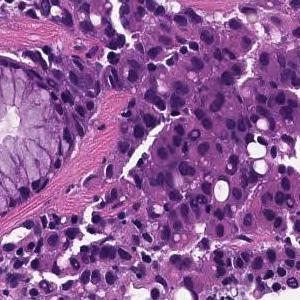
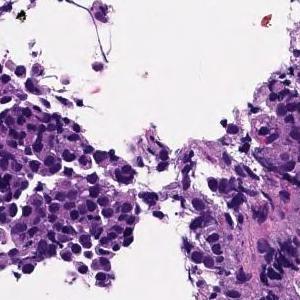
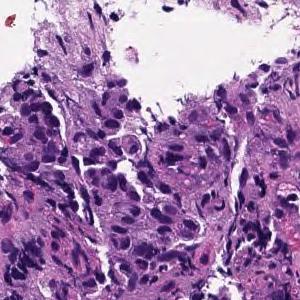
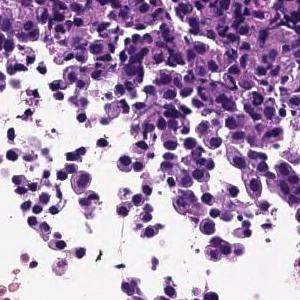
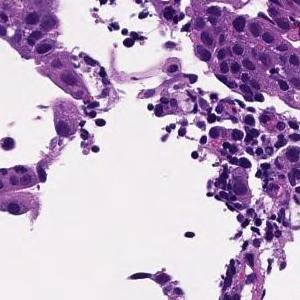
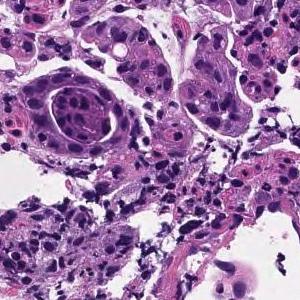
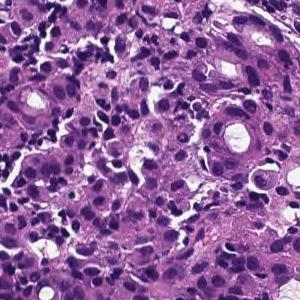
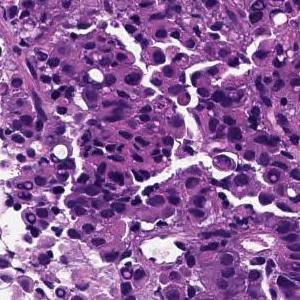
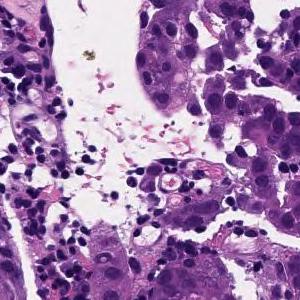
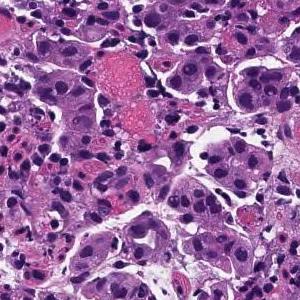
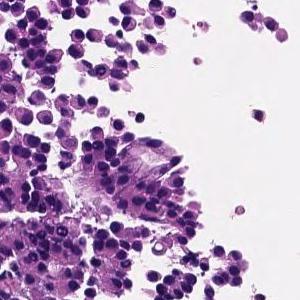
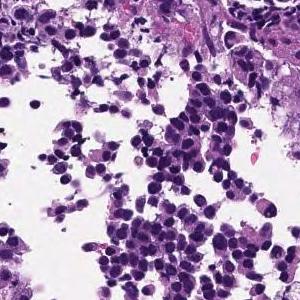
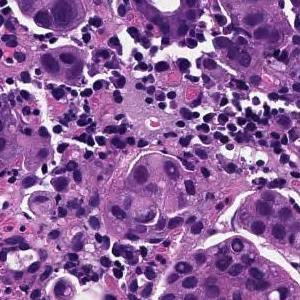
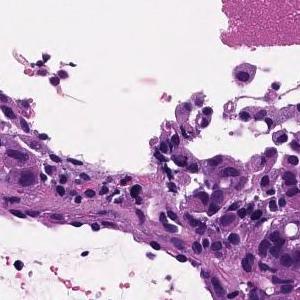
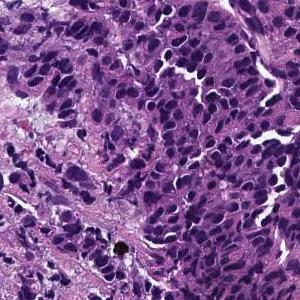
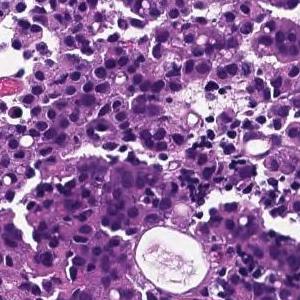
H&E; scanned at ×20; 16 image tiles from a single gastric biopsy slide.
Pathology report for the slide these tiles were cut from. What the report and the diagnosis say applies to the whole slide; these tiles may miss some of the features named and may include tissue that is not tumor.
The superficial epithelium shows a large sheet-like shape, and some tumor tissue infiltrates with small irregular ducts. Poorly differentiated adenocarcinoma, solid-type
Classified as poorly differentiated adenocarcinoma, solid type, a category of the Japanese Classification of Gastric Carcinoma; in the WHO 2019 classification it is tubular adenocarcinoma, poorly differentiated.
